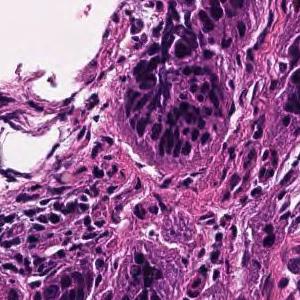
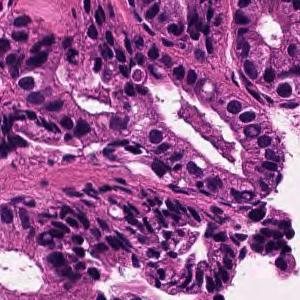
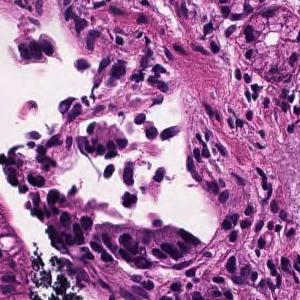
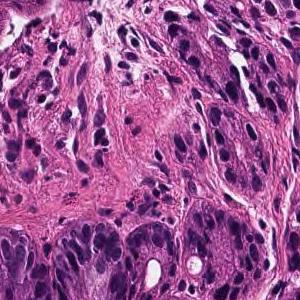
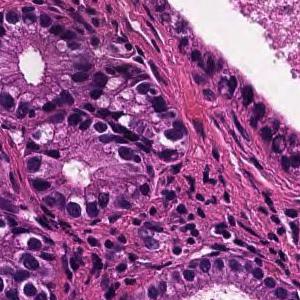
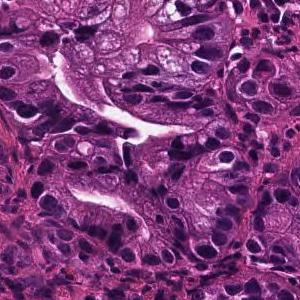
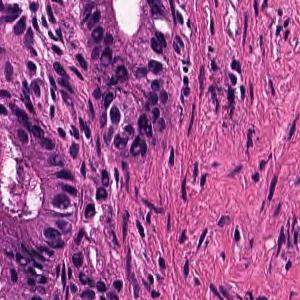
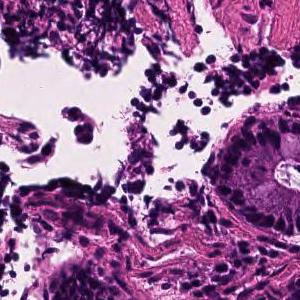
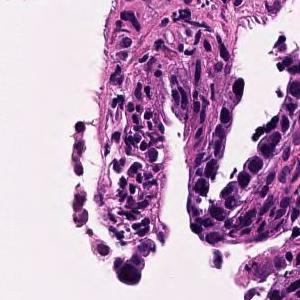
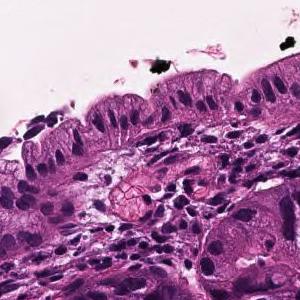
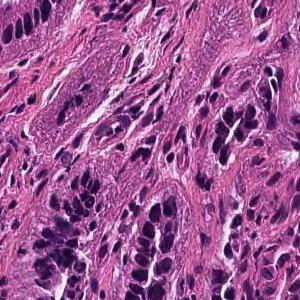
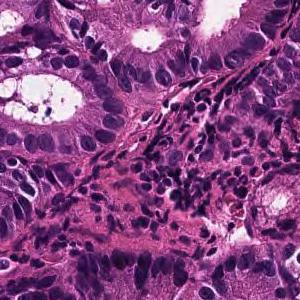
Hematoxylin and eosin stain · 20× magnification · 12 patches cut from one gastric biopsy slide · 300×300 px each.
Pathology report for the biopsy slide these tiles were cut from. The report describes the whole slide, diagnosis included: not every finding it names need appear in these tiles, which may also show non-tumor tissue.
In the superficial epithelium, tumor tissue that invades by forming medium-sized to small, irregular ducts is observed. Well differentiated tubular adenocarcinoma.
